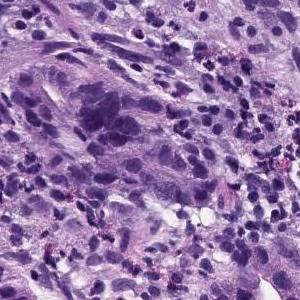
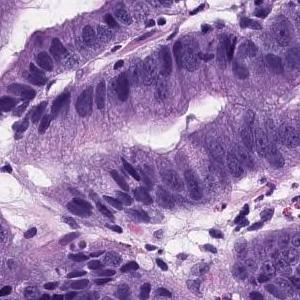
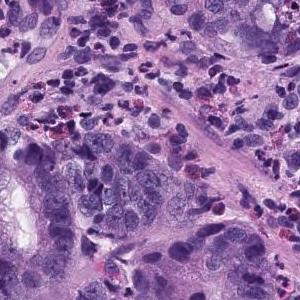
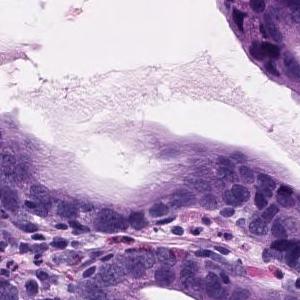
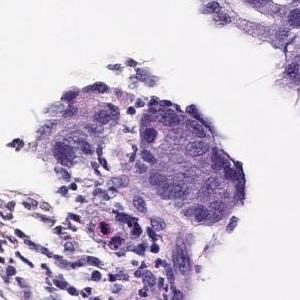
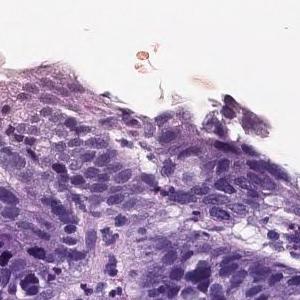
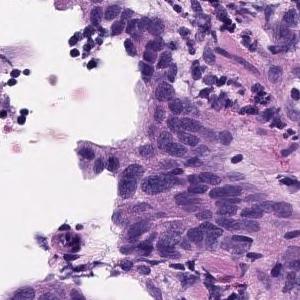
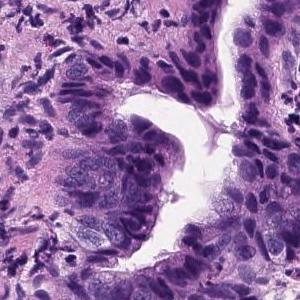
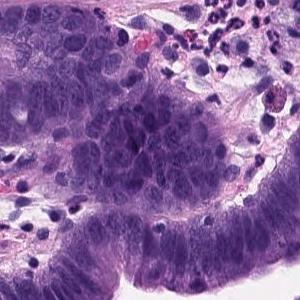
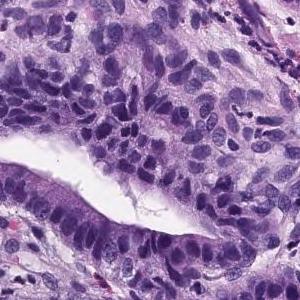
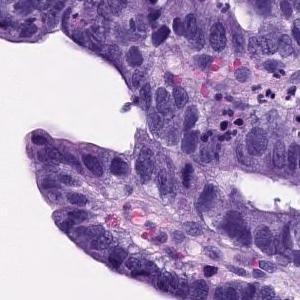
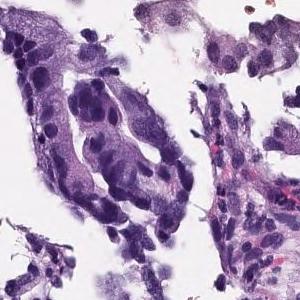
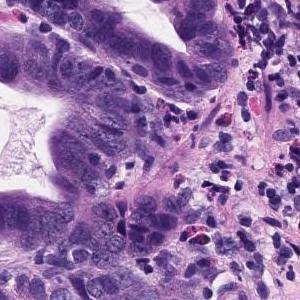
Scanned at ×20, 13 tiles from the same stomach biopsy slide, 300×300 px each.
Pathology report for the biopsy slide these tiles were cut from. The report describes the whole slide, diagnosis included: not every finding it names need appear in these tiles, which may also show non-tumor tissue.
Tumor tissue consisting of large papillary structures is found in the superficial epithelium. Papillary adenocarcinoma.
